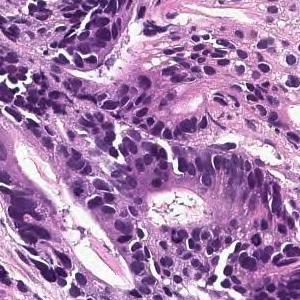
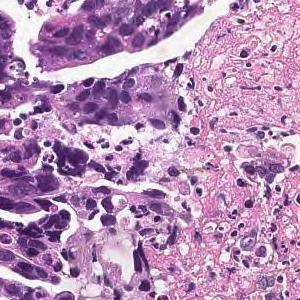
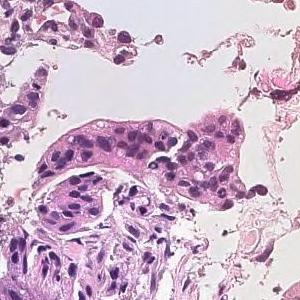
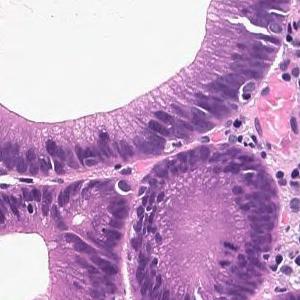
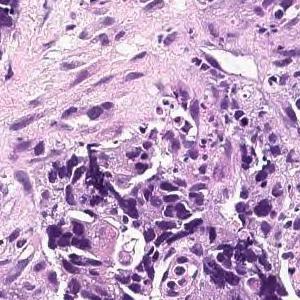
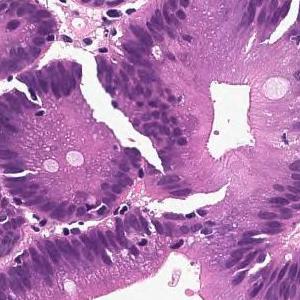
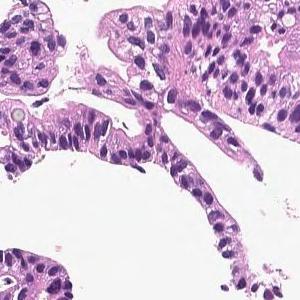
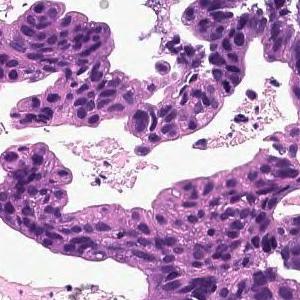
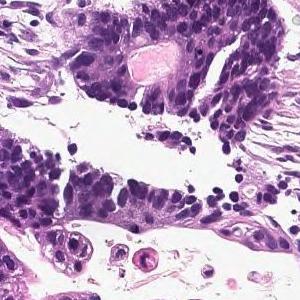
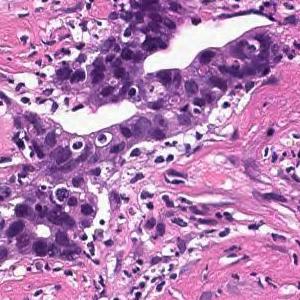
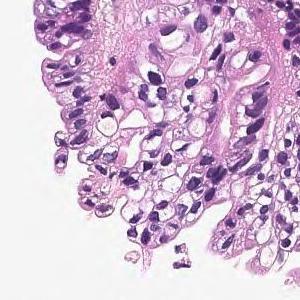
11 tiles cut from one stomach biopsy slide; hematoxylin and eosin stain; scanned at ×20.
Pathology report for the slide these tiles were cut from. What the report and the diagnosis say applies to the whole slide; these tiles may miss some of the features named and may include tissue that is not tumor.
In the superficial epithelium, tumor tissue that invades by forming medium-sized to small, irregular ducts is observed. moderately differentiated tubular adenocarcinoma.
